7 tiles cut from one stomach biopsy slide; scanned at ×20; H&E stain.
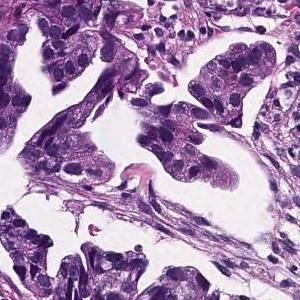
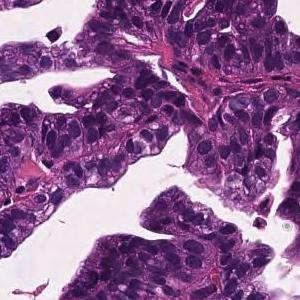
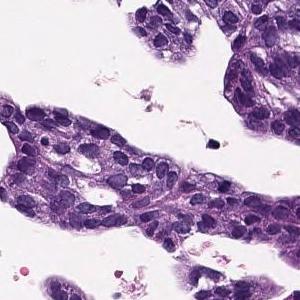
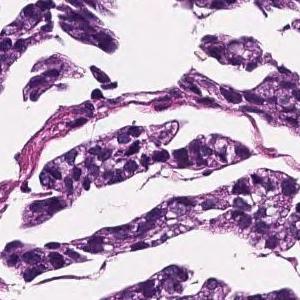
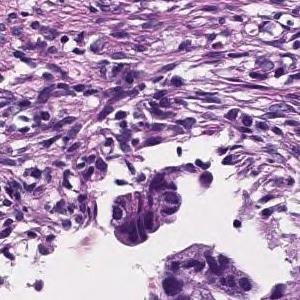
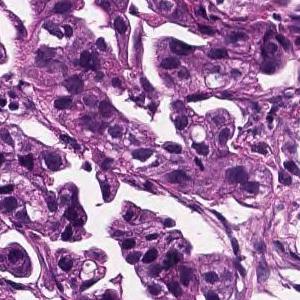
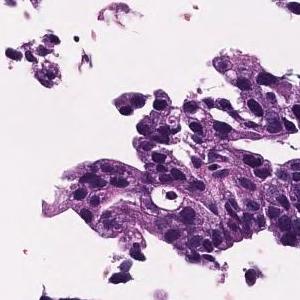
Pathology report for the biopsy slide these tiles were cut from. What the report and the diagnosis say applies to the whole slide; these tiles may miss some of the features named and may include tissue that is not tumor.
In the lamina propria, tumor tissue that invades by forming medium-sized to small, irregular glandular ducts is observed. moderately differentiated tubular adenocarcinoma
